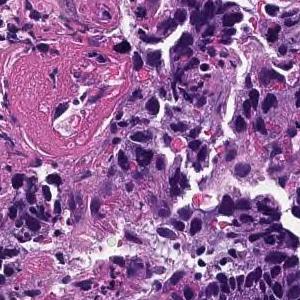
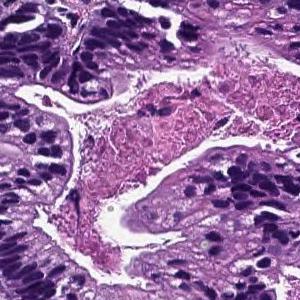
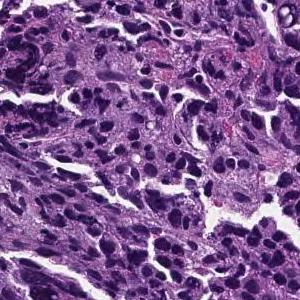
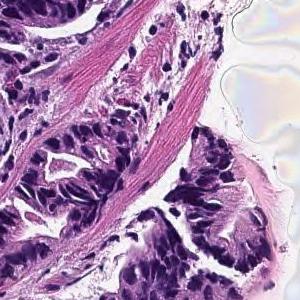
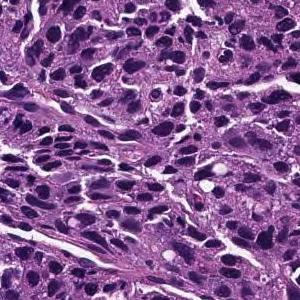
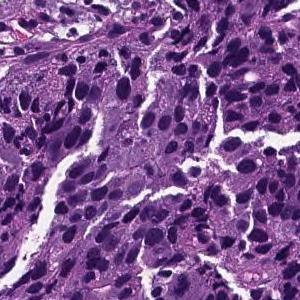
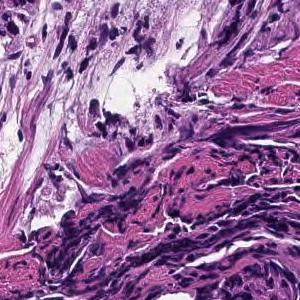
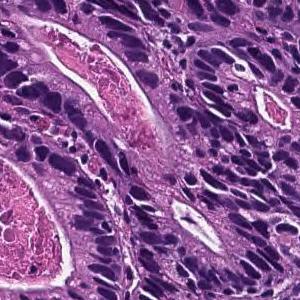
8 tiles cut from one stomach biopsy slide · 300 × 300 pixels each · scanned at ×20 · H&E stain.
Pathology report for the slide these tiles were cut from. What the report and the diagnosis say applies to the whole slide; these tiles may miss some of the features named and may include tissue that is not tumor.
From the superficial epithelium to the muscularis mucosae, tumor tissue consisting of medium-sized and irregular glandular ducts infiltrating is observed. Well differentiated tubular adenocarcinoma
